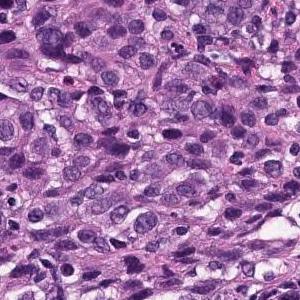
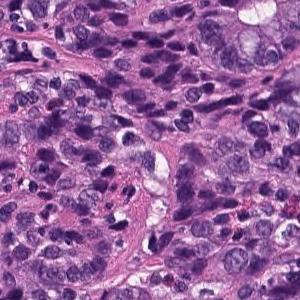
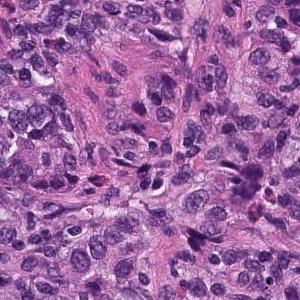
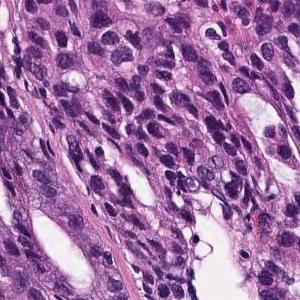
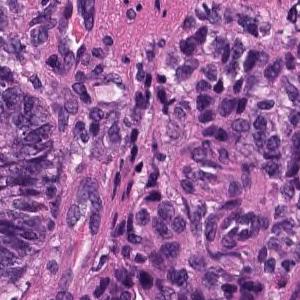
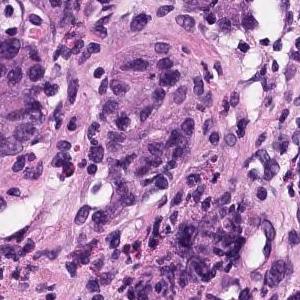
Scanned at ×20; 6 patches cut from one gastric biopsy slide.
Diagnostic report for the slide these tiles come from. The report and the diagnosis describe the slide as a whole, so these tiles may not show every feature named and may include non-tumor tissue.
In the superficial epithelium, tumor tissue that invades by forming medium-sized to small, irregular ducts is observed. Moderately differentiated adenocarcinoma.
Subtype: Moderately differentiated tubular adenocarcinoma.
